13 image tiles from a single gastric biopsy slide; 300×300 px each; hematoxylin and eosin stain; ×20.
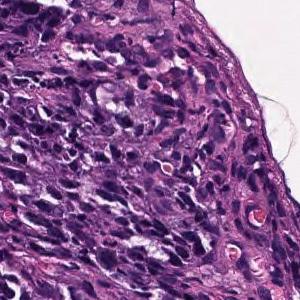
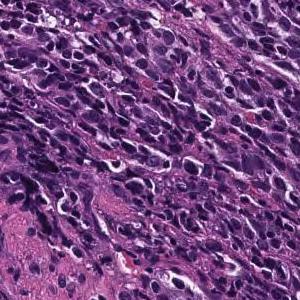
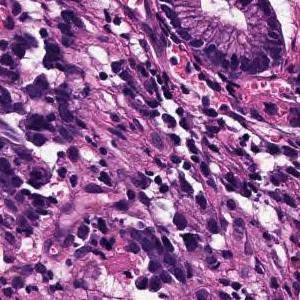
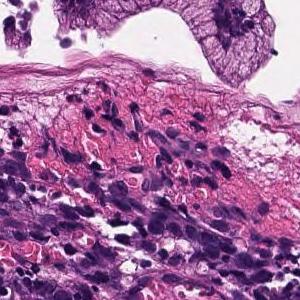
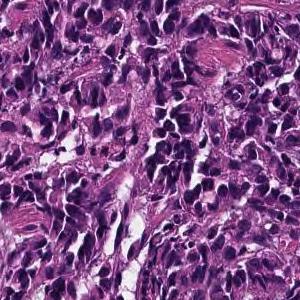
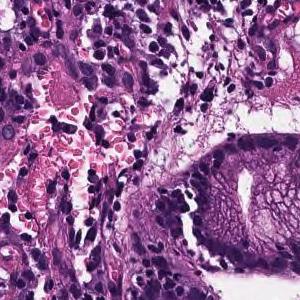
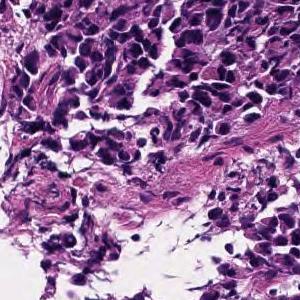
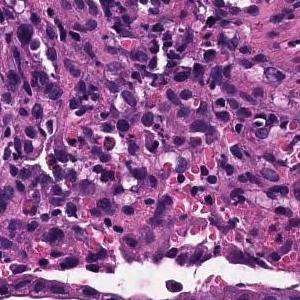
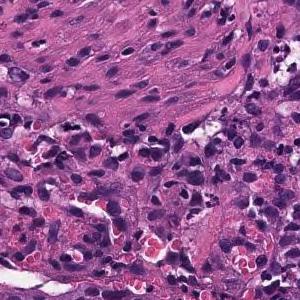
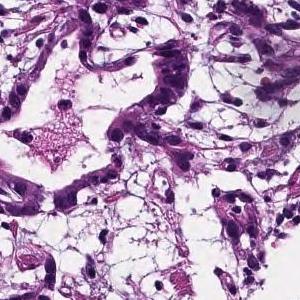
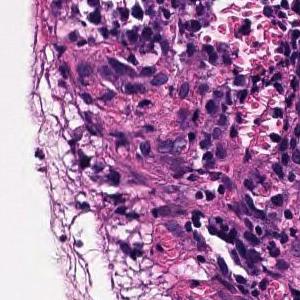
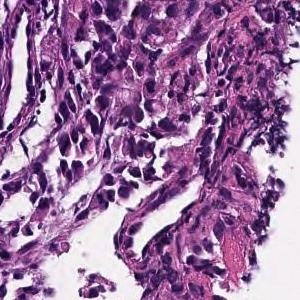
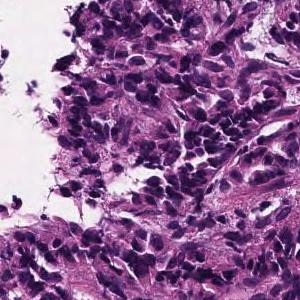
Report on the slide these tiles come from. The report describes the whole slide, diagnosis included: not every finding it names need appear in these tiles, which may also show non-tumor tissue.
Poorly differentiated, solid adenocarcinoma (poorly differentiated adenocarcinoma, solid type) with tumor tissue diffusely infiltrated with atypical epithelial cells
Classified as poorly differentiated adenocarcinoma, solid type. This name comes from the Japanese Classification of Gastric Carcinoma; the WHO 2019 classification calls it tubular adenocarcinoma, poorly differentiated.
